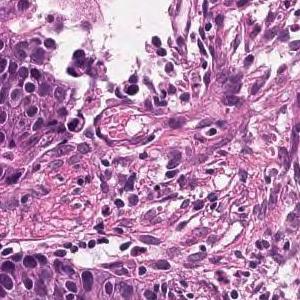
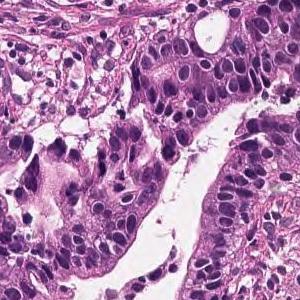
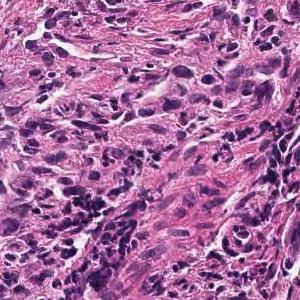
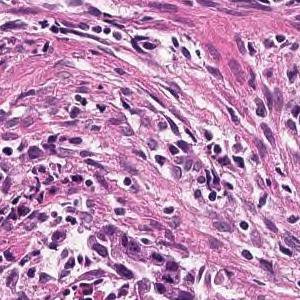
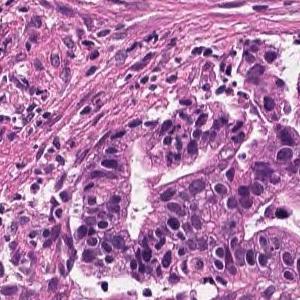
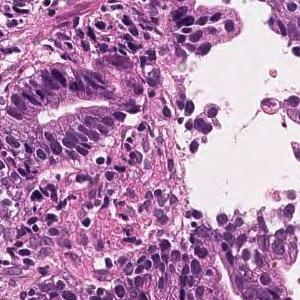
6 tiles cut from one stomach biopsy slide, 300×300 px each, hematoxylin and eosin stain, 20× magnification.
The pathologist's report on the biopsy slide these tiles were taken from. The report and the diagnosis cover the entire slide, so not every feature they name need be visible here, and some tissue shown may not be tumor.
Tumor cells are large, highly columnar, large club-shaped nuclei, and are associated with chromatin aggregation. Papillary adenocarcinoma.
